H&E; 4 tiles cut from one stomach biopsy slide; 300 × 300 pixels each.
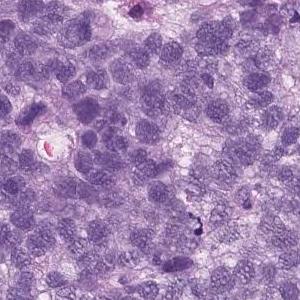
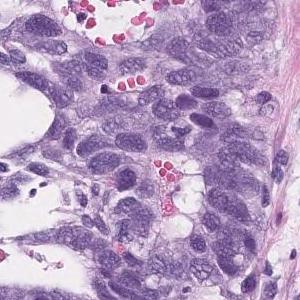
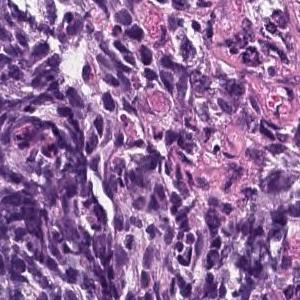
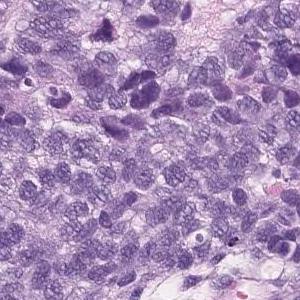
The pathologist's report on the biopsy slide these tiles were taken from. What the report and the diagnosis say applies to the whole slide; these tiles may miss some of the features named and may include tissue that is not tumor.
Epithelial cells with swollen nuclei with atypia invasively proliferating while forming vesicles is observed. Poorly differentiated adenocarcinoma
Histologic type: Poorly differentiated adenocarcinoma, solid type, a category of the Japanese Classification of Gastric Carcinoma; in the WHO 2019 classification it is tubular adenocarcinoma, poorly differentiated.
